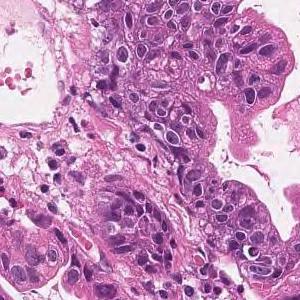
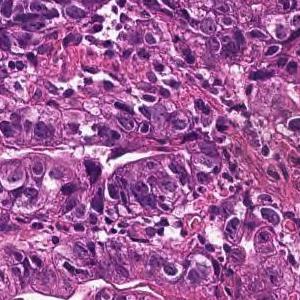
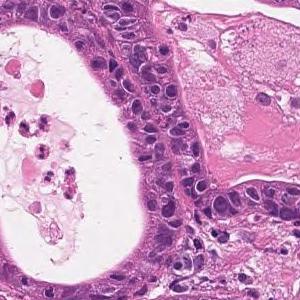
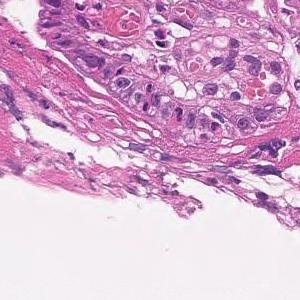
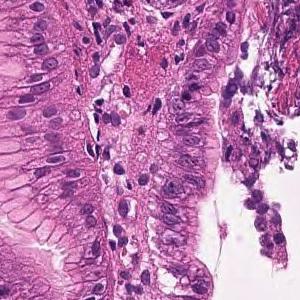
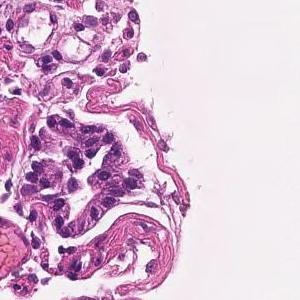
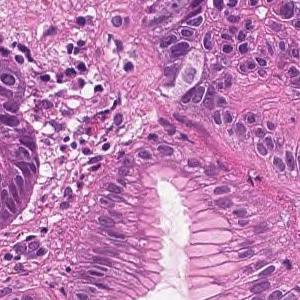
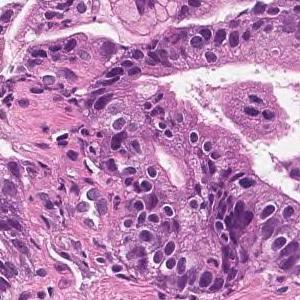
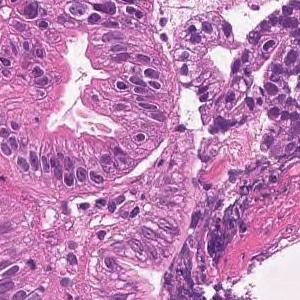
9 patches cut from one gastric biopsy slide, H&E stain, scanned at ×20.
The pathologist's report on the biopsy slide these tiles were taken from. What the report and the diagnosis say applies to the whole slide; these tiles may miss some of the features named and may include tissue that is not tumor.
In the superficial epithelium, tumor tissue that invades by forming medium-sized to small, irregular ducts is observed. Well differentiated tubular adenocarcinoma.
